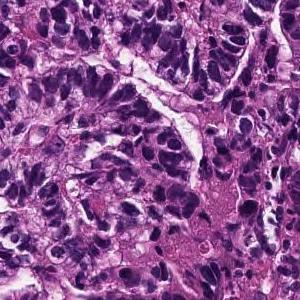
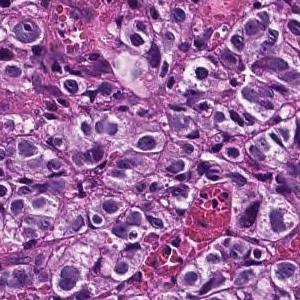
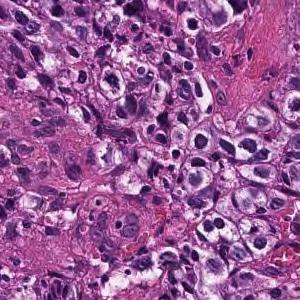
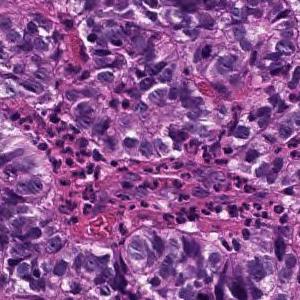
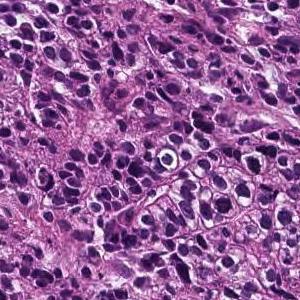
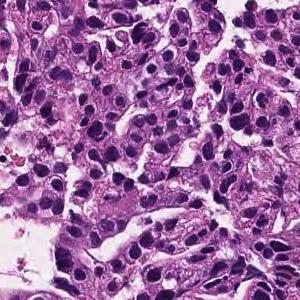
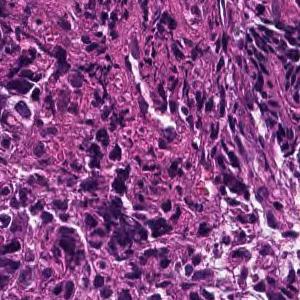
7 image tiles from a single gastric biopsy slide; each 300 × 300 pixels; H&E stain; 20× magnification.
The pathologist's report on the biopsy slide these tiles were taken from. The report and the diagnosis describe the slide as a whole, so these tiles may not show every feature named and may include non-tumor tissue.
In the superficial epithelium, tumor tissue that invades by forming medium-sized to small, irregular ducts is observed. moderately differentiated tubular adenocarcinoma.
